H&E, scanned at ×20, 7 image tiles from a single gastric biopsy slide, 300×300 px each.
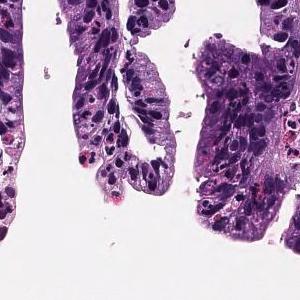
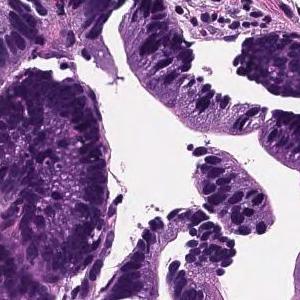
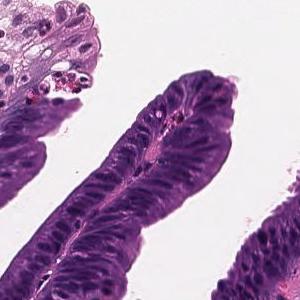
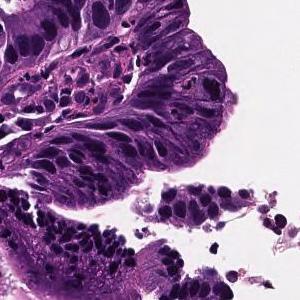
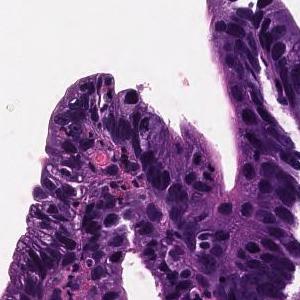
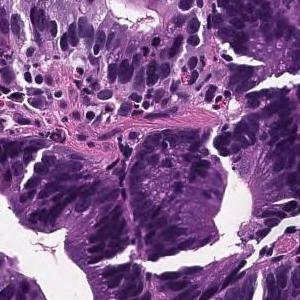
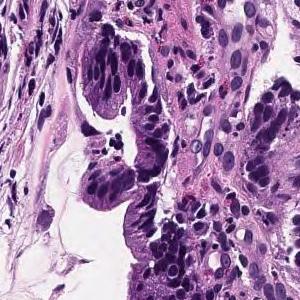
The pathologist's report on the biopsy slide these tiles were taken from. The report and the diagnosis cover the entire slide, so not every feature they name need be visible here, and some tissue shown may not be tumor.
Tumor cells are large, highly columnar, large club-shaped nuclei, and are associated with chromatin aggregation. Papillary adenocarcinoma.
